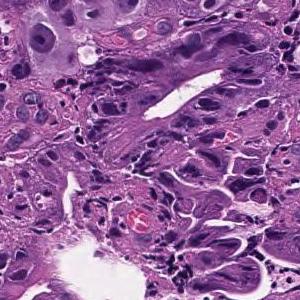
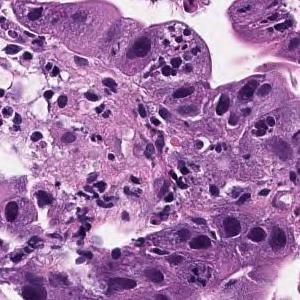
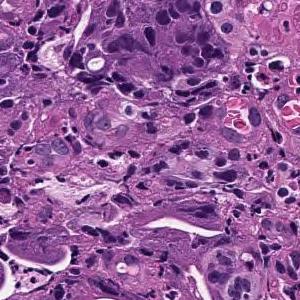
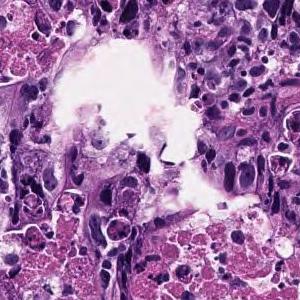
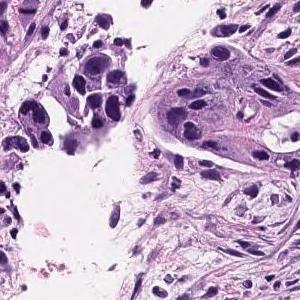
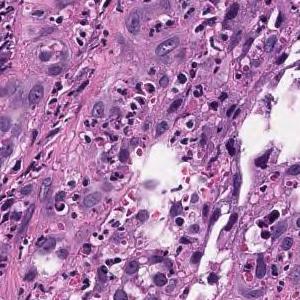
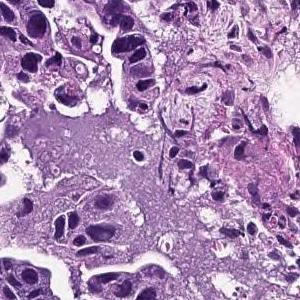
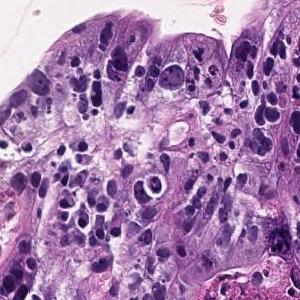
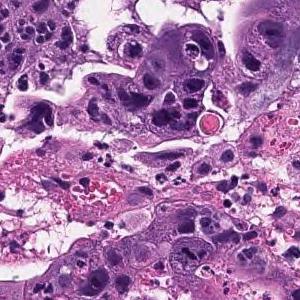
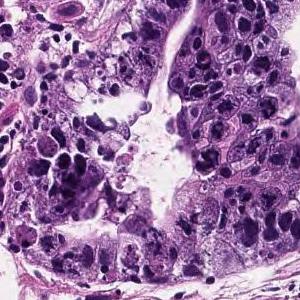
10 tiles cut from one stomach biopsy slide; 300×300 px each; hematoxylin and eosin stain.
Pathology report for the biopsy slide these tiles were cut from. Both the report and the diagnosis are for the whole slide: these tiles need not show every feature named, and some of the tissue shown may not be tumor.
In the superficial epithelium, medium to small irregular gland ducts are formed, and in some cases, the ducts are fused to show solid alveolar lesions and infiltrating tumor tissue is observed. Moderately to poorly differentiated adenocarcinoma
